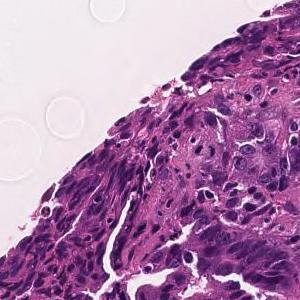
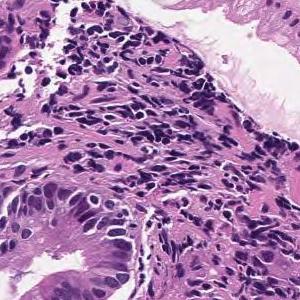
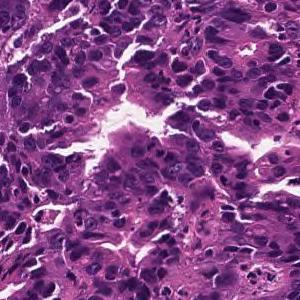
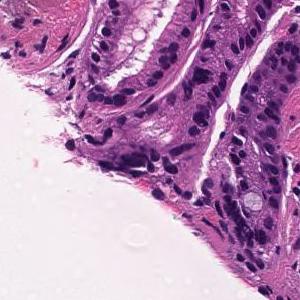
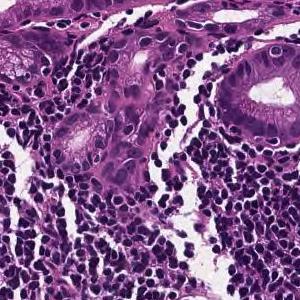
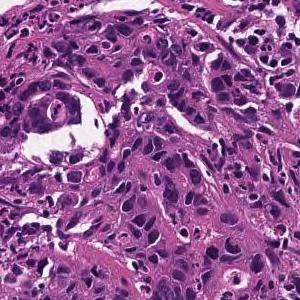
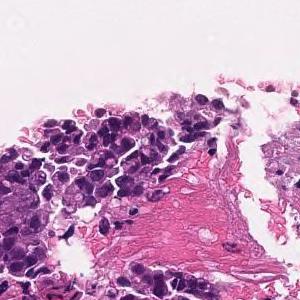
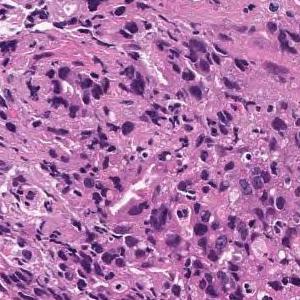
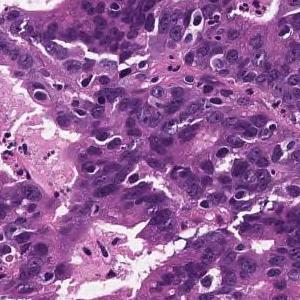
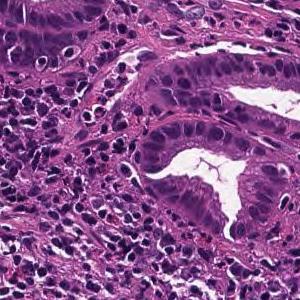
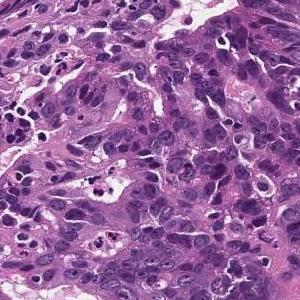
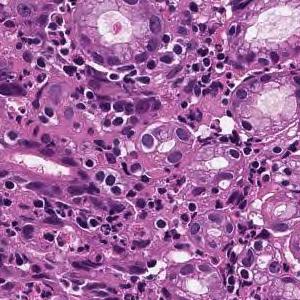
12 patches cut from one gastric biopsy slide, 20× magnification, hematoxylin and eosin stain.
The pathologist's report on the biopsy slide these tiles were taken from. The report and the diagnosis cover the entire slide, so not every feature they name need be visible here, and some tissue shown may not be tumor.
In the superficial epithelium, tumor tissue that invades by forming medium-sized to small, irregular ducts is observed. moderately differentiated tubular adenocarcinoma.
